15 patches cut from one gastric biopsy slide · each 300 × 300 pixels · H&E.
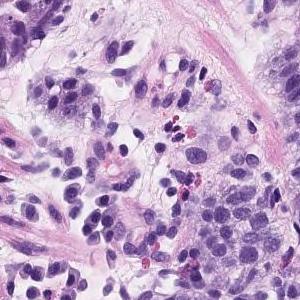
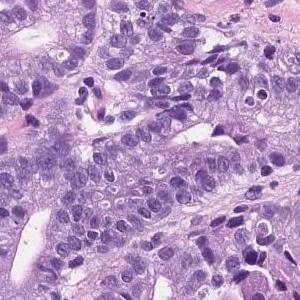
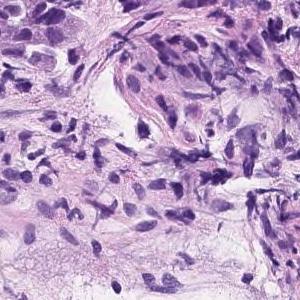
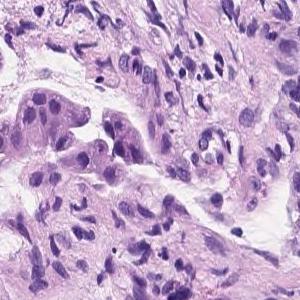
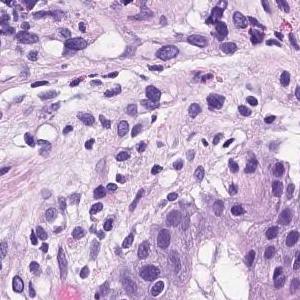
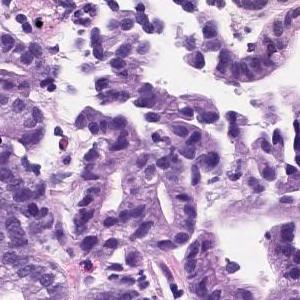
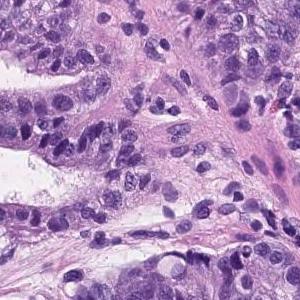
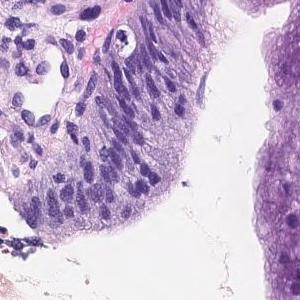
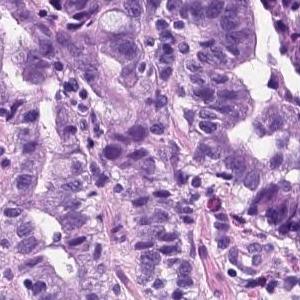
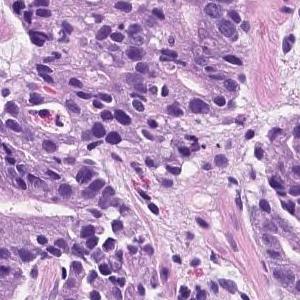
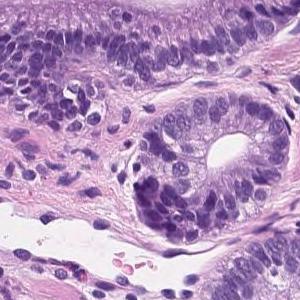
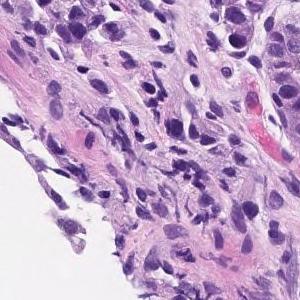
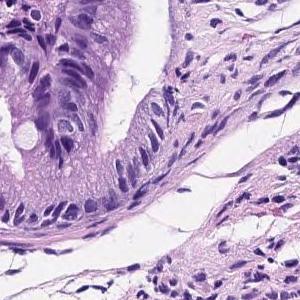
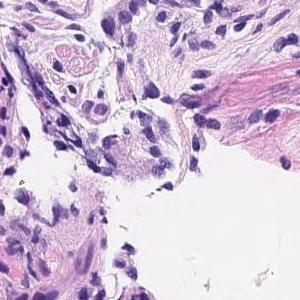
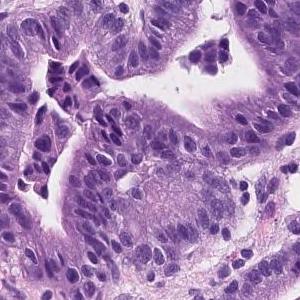
Diagnostic report for the slide these tiles come from. The report and the diagnosis cover the entire slide, so not every feature they name need be visible here, and some tissue shown may not be tumor.
Tumor tissue consisting of medium-sized and irregular ducts is observed infiltrating in the superficial epithelium. Tumor cells are highly columnar, with nuclei aligned basolaterally and polarized. Well differentiated tubular adenocarcinoma.
